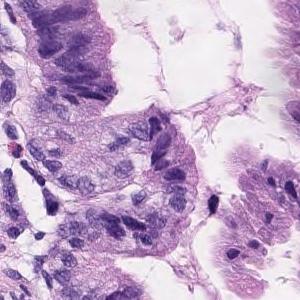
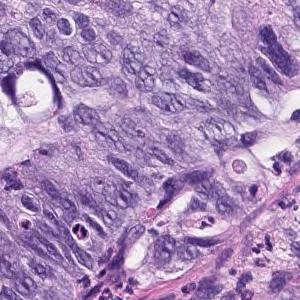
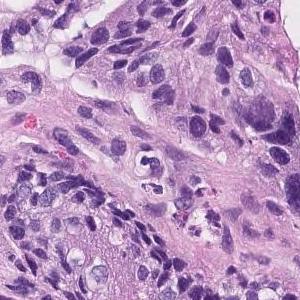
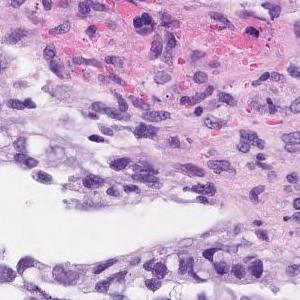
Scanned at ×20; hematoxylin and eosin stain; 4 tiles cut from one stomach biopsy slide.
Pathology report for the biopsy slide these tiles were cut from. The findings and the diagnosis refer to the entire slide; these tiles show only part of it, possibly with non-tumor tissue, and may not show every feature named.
Tumor cells are large, highly columnar, large club-shaped nuclei, and are associated with chromatin aggregation. Papillary adenocarcinoma.
